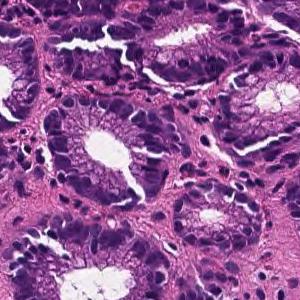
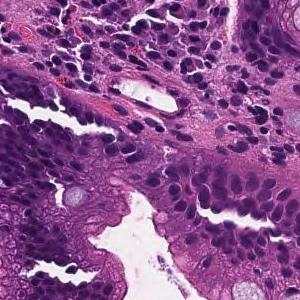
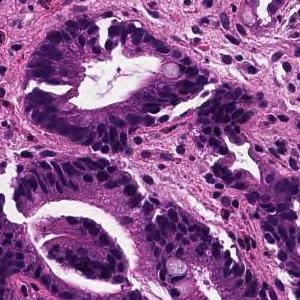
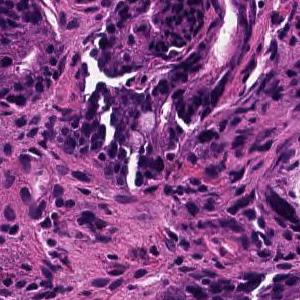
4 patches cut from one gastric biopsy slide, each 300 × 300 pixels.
Pathology report for the slide these tiles were cut from. The report describes the whole slide, diagnosis included: not every finding it names need appear in these tiles, which may also show non-tumor tissue.
From the superficial epithelium to the muscularis mucosae, tumor tissue consisting of medium-sized and irregular glandular ducts infiltrating is observed. Well differentiated tubular adenocarcinoma
